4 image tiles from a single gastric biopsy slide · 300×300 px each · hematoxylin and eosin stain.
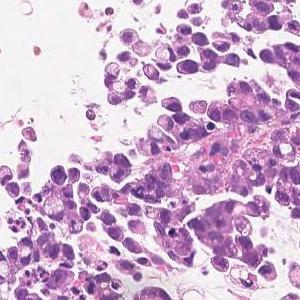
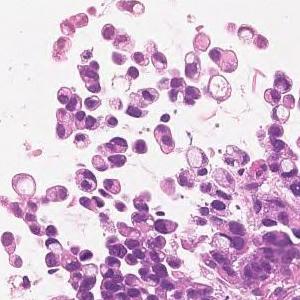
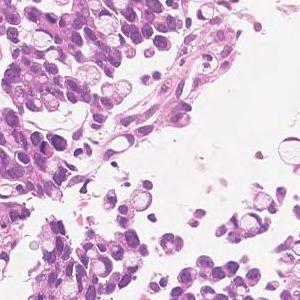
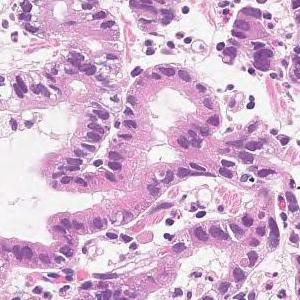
Diagnostic report for the slide these tiles come from. What the report and the diagnosis say applies to the whole slide; these tiles may miss some of the features named and may include tissue that is not tumor.
Medium to small, irregular glandular ducts are formed in the superficial epithelium, and in some cases, the glandular ducts are fused to show solid alveolar lesions and infiltrating tumor tissue is observed. Moderately to poorly differentiated adenocarcinoma.
